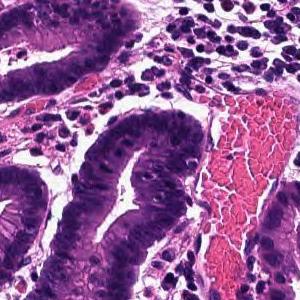
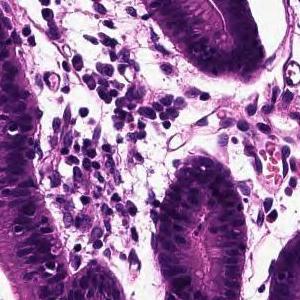
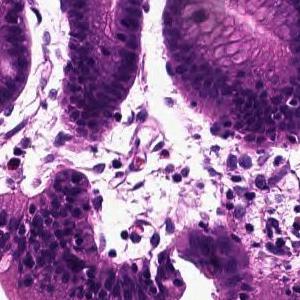
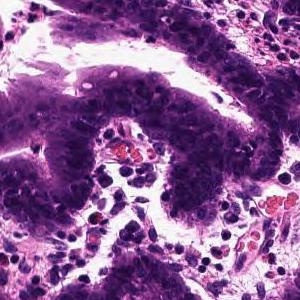
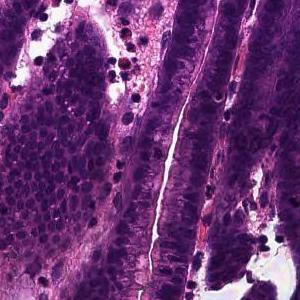
H&E stain · ×20 · 5 patches cut from one gastric biopsy slide · each 300 × 300 pixels.
Report on the slide these tiles come from. The findings and the diagnosis refer to the entire slide; these tiles show only part of it, possibly with non-tumor tissue, and may not show every feature named.
Tumor tissue that infiltrates by forming large papillary or large irregular glandular ducts is observed confined to the mucosa. Papillary adenocarcinoma
